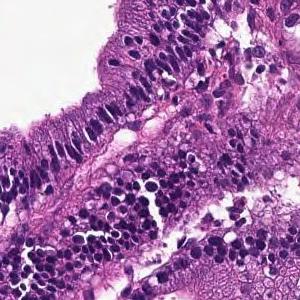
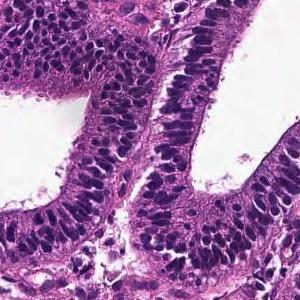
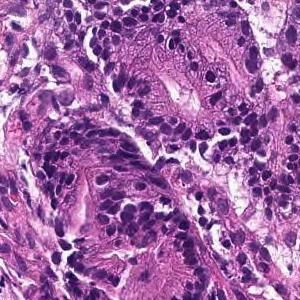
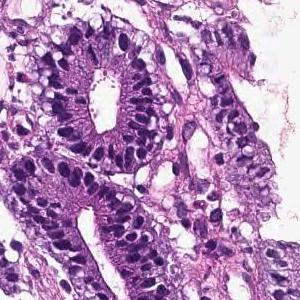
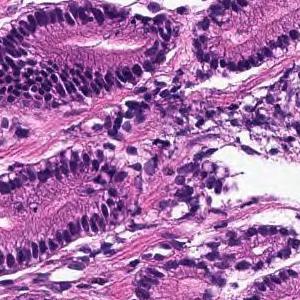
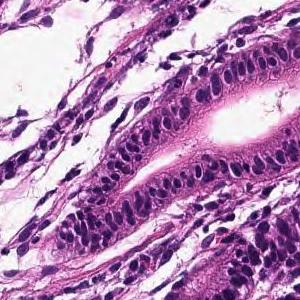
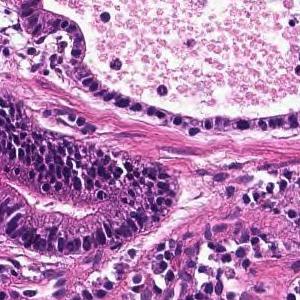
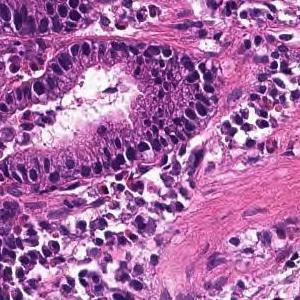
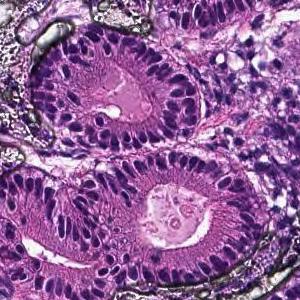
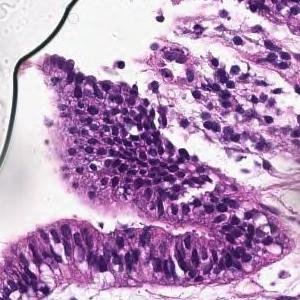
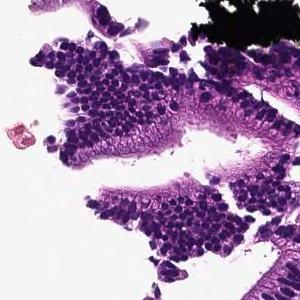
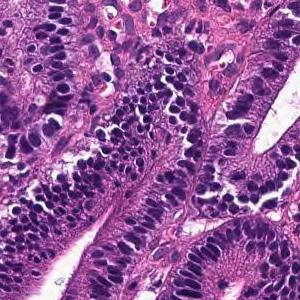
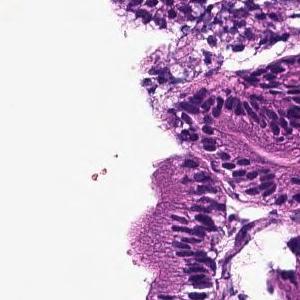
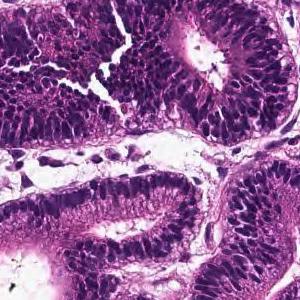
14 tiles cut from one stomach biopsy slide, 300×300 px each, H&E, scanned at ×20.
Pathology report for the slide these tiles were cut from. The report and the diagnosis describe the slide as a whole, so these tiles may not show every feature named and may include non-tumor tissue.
On the superficial epithelium, tumor tissue that infiltrates by forming medium-sized round or small irregular ducts is observed. Papillary adenocarcinoma
